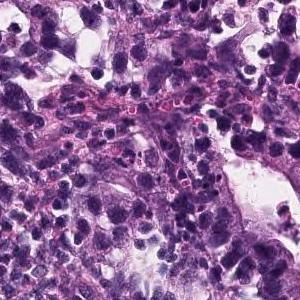
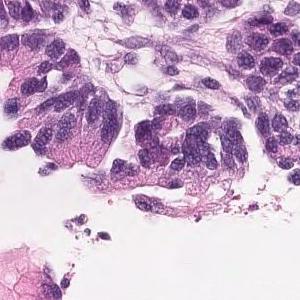
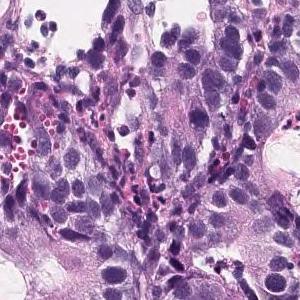
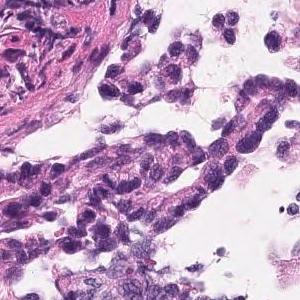
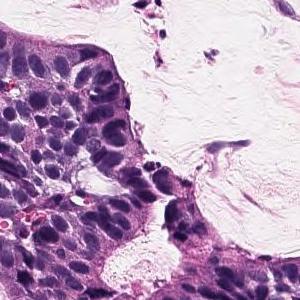
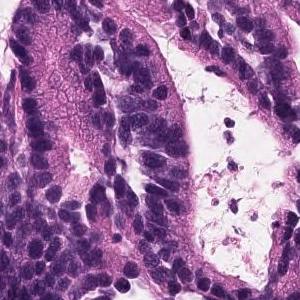
×20, 6 image tiles from a single gastric biopsy slide, 300 × 300 pixels each.
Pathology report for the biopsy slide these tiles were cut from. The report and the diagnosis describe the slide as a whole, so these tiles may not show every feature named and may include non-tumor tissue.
In the superficial epithelium, tumor tissue that invades by forming medium-sized to small, irregular ducts is observed. moderately differentiated tubular adenocarcinoma.
